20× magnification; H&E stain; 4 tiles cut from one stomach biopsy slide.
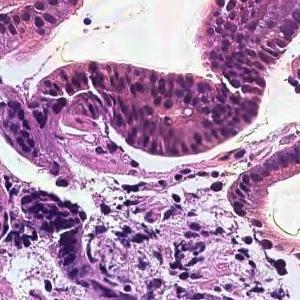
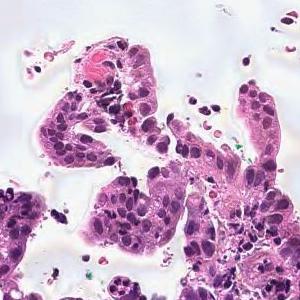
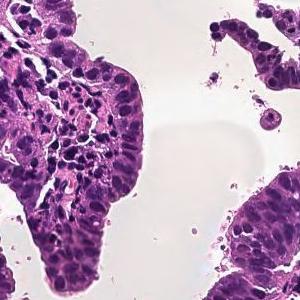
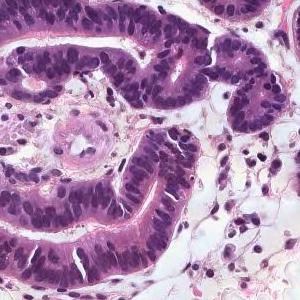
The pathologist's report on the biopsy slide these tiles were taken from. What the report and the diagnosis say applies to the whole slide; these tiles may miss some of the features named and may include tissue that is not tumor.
From the superficial epithelium to the muscularis mucosae, tumor tissue consisting of medium-sized and irregular glandular ducts infiltrating is observed. Well differentiated tubular adenocarcinoma
